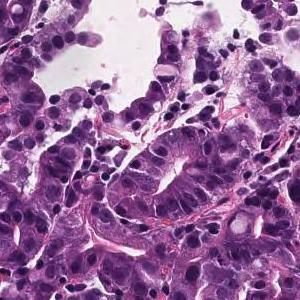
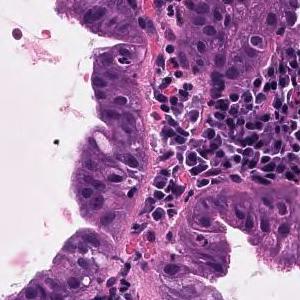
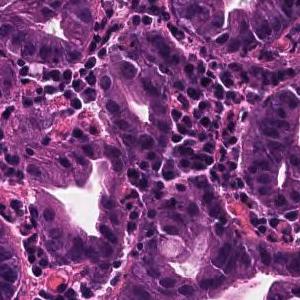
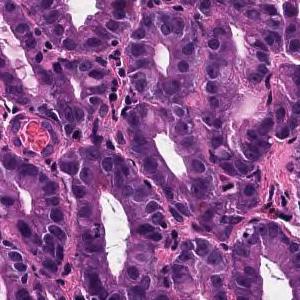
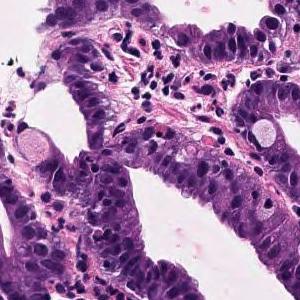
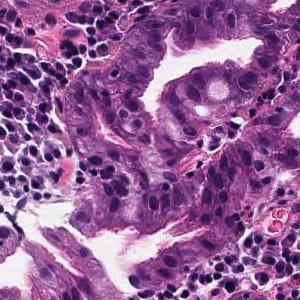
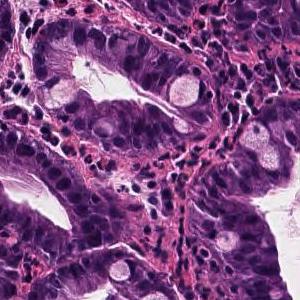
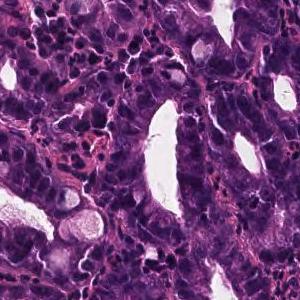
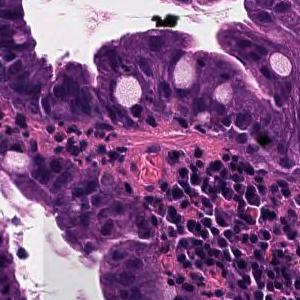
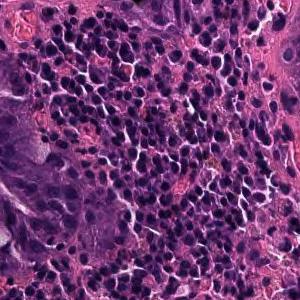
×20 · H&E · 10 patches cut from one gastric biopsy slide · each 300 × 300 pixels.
Pathology report for the biopsy slide these tiles were cut from. The report and the diagnosis describe the slide as a whole, so these tiles may not show every feature named and may include non-tumor tissue.
Atypical tubular proliferation of well to moderately differentiated gastric gland with hyperchromatic nuclei and high N:C ratio. Mitotic figures were also present. These histological findings were suggestive of well to moderately differentiated tubular adenocarcinoma (well differentiated tubular adenocarcinoma, moderately differentiated tubular adenocarcinoma).
Labeled in the dataset as well differentiated tubular adenocarcinoma.
